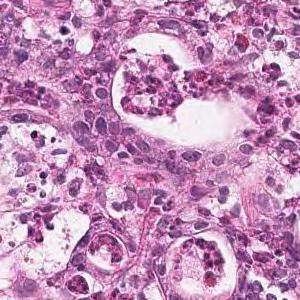
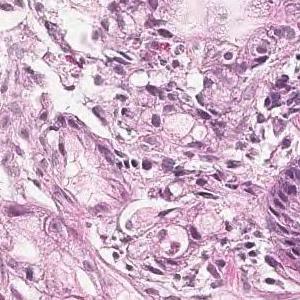
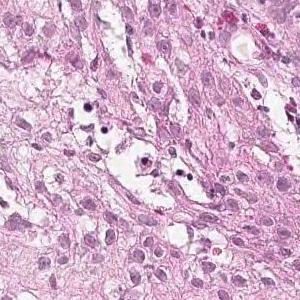
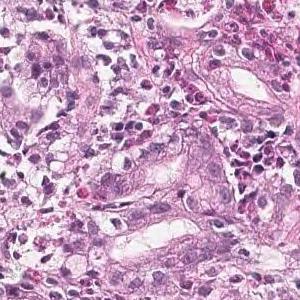
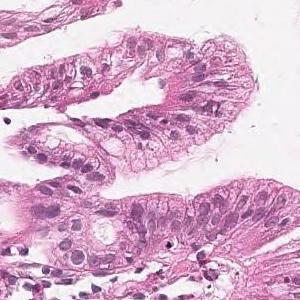
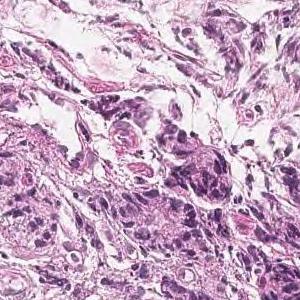
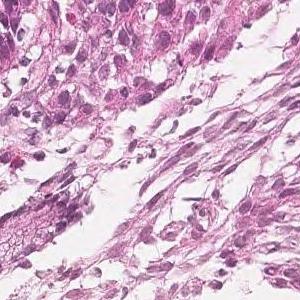
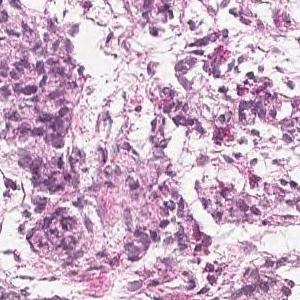
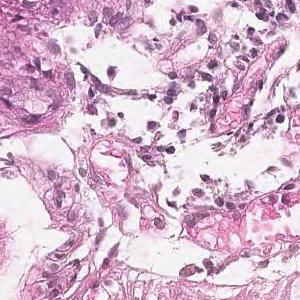
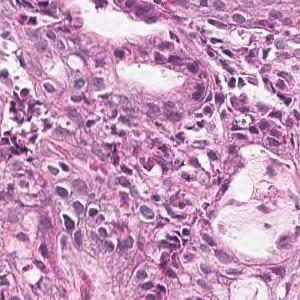
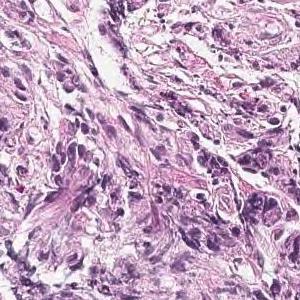
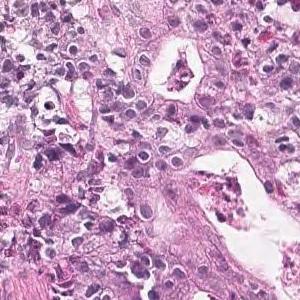
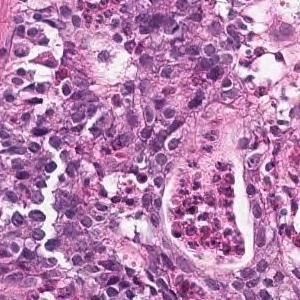
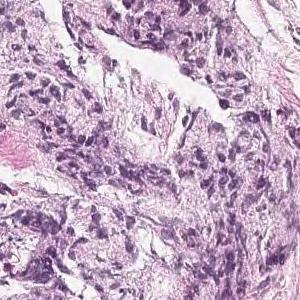
14 tiles from the same stomach biopsy slide; H&E; scanned at ×20.
Report on the slide these tiles come from. The findings and the diagnosis refer to the entire slide; these tiles show only part of it, possibly with non-tumor tissue, and may not show every feature named.
Tumor tissue consisting of medium-sized, cord-like or irregular glandular infiltration is observed in the superficial epithelium. Poorly differentiated adenocarcinoma, non-solid type or moderately differentiated tubular adenocarcinoma
"Non-solid type" is a category of the Japanese Classification of Gastric Carcinoma.
